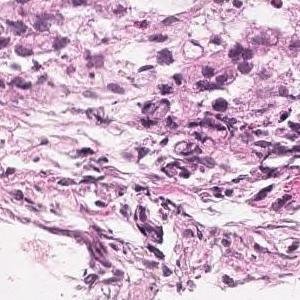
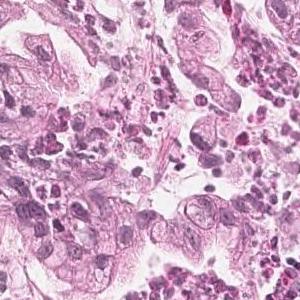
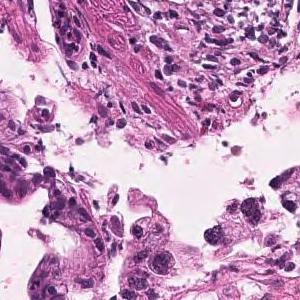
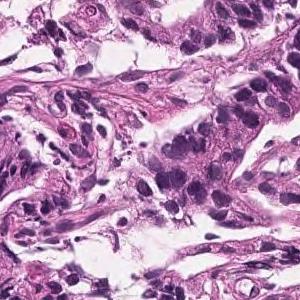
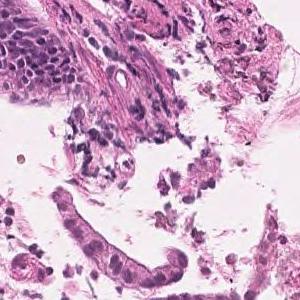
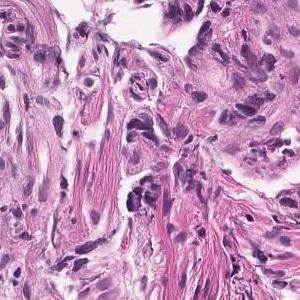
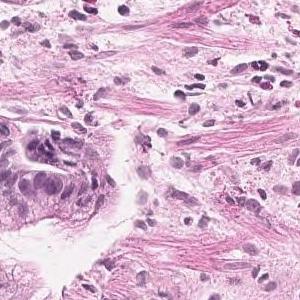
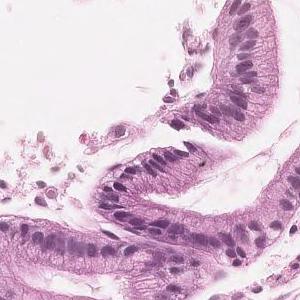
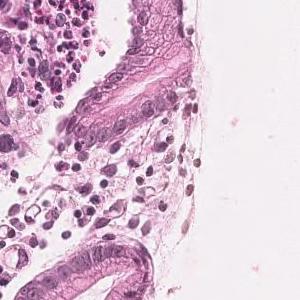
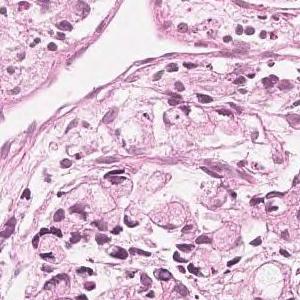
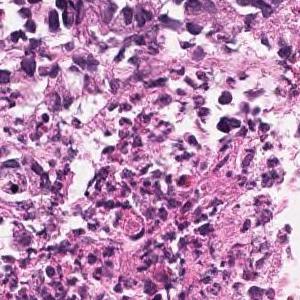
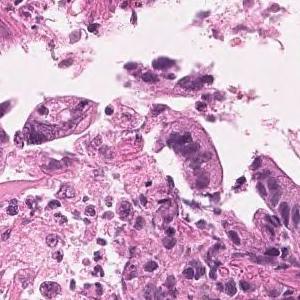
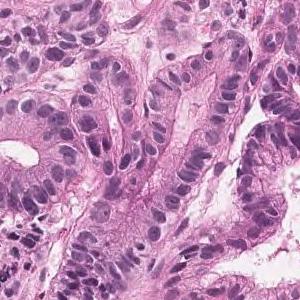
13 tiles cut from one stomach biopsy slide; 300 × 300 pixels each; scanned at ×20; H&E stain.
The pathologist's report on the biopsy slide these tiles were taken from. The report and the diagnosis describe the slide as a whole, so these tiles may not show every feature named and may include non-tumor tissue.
In the superficial epithelium, medium to small irregular gland ducts are formed, and in some cases, the ducts are fused to show solid alveolar lesions and infiltrating tumor tissue is observed. Moderately to poorly differentiated adenocarcinoma
